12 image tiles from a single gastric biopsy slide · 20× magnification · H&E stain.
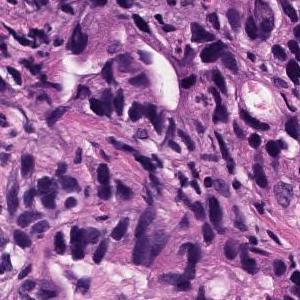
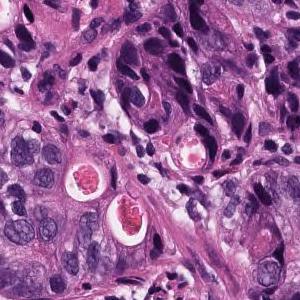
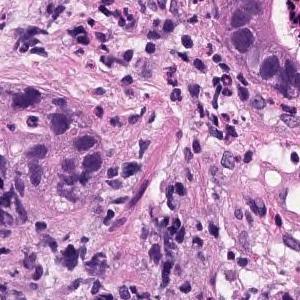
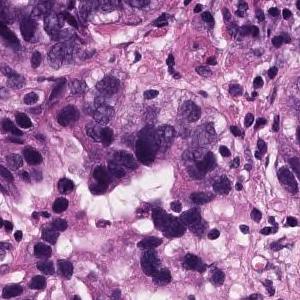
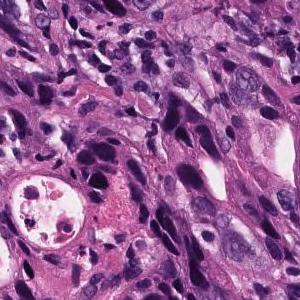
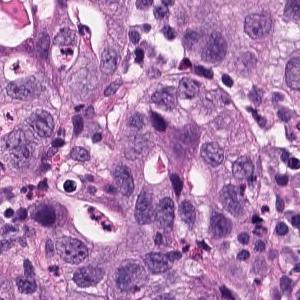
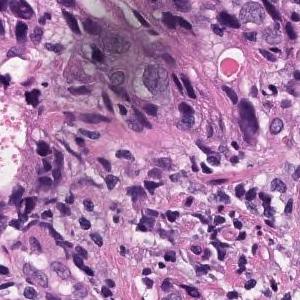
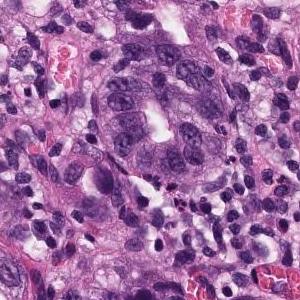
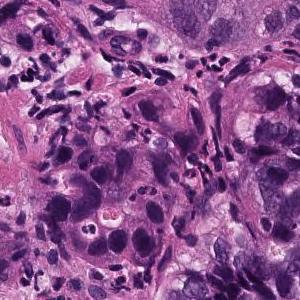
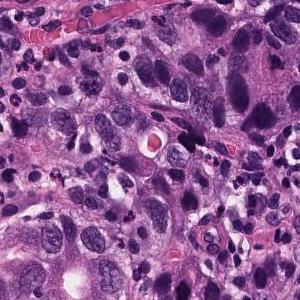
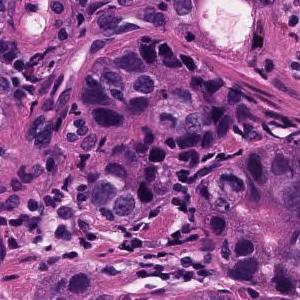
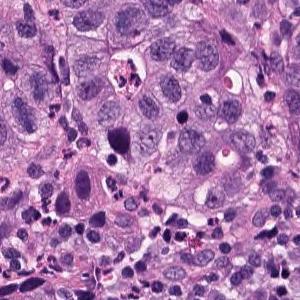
Report on the slide these tiles come from. What the report and the diagnosis say applies to the whole slide; these tiles may miss some of the features named and may include tissue that is not tumor.
In the superficial epithelium, tumor tissue that invades by forming medium-sized to small, irregular ducts is observed. Moderately differentiated adenocarcinoma.
Subtype: Moderately differentiated tubular adenocarcinoma.
